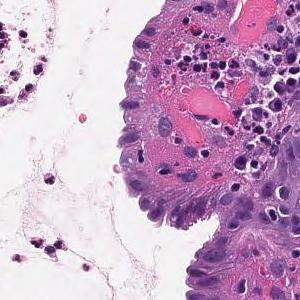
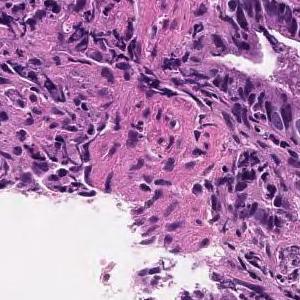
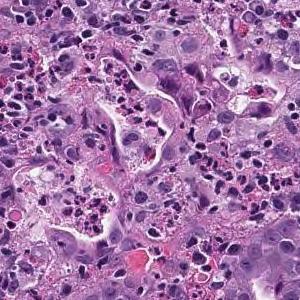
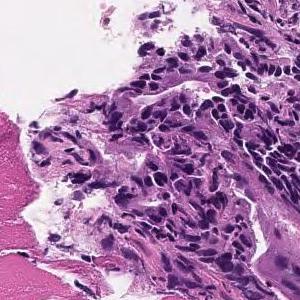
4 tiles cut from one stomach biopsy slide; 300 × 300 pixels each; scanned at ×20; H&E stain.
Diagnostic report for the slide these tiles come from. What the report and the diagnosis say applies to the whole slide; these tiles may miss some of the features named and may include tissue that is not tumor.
On the superficial epithelium, tumor tissue consisting of large, irregular glandular ducts partially fused and infiltrated is observed. Well to moderately differentiated tubular adenocarcinoma (well differentiated tubular adenocarcinoma, moderately differentiated tubular adenocarcinoma)
Subtype: Well to moderately differentiated tubular adenocarcinoma.
